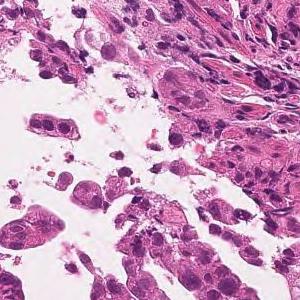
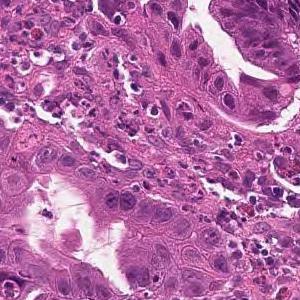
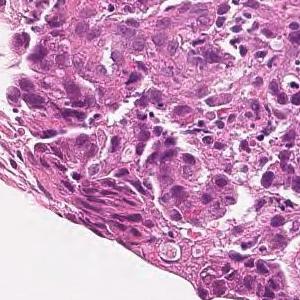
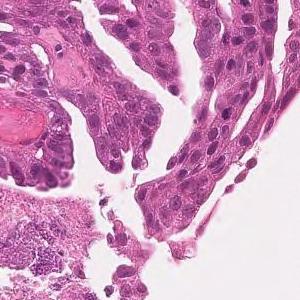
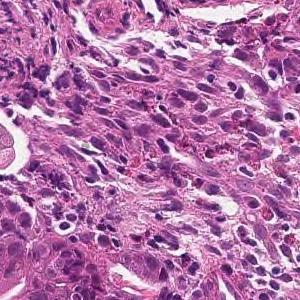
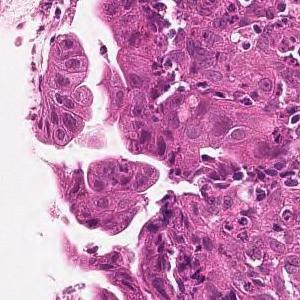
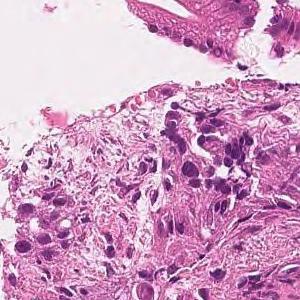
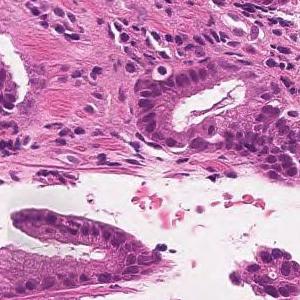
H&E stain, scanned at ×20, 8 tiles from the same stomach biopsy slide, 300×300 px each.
Report on the slide these tiles come from. The report and the diagnosis cover the entire slide, so not every feature they name need be visible here, and some tissue shown may not be tumor.
Tumor tissue consisting of large papillary structures is found in the superficial epithelium. Papillary adenocarcinoma.
